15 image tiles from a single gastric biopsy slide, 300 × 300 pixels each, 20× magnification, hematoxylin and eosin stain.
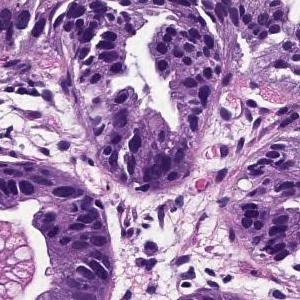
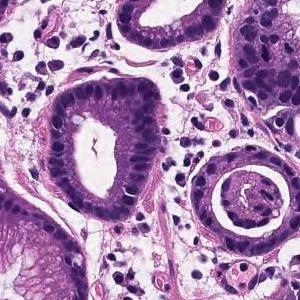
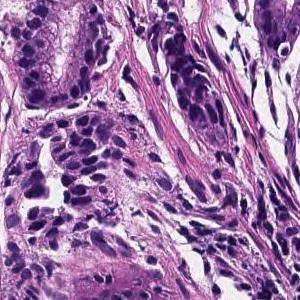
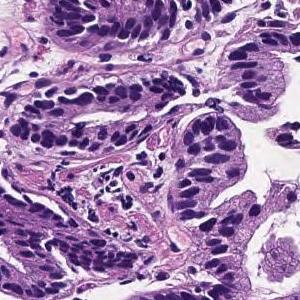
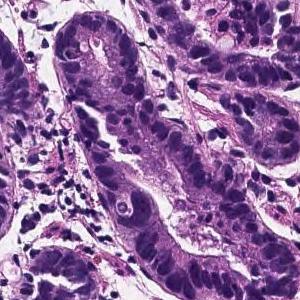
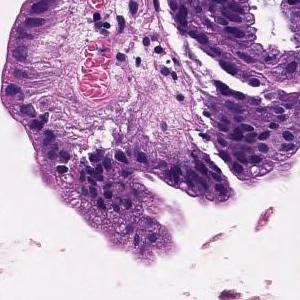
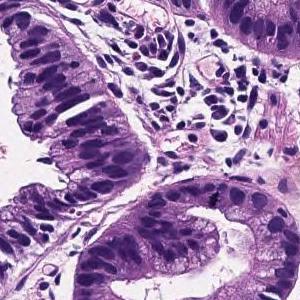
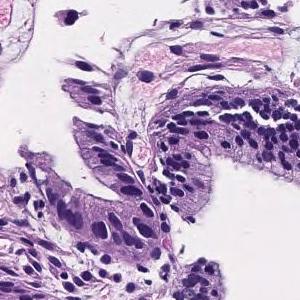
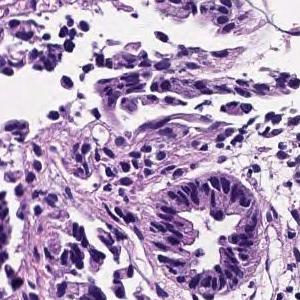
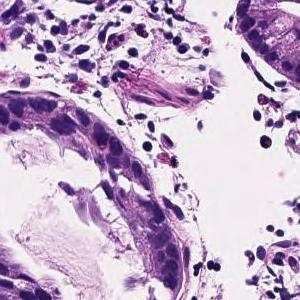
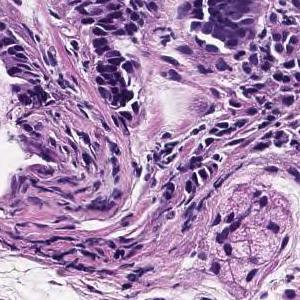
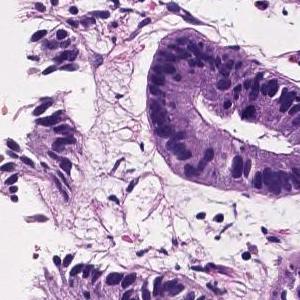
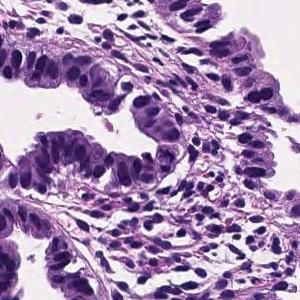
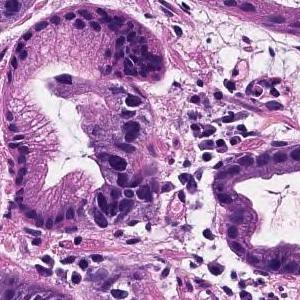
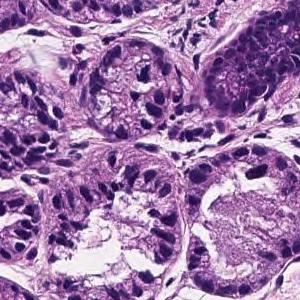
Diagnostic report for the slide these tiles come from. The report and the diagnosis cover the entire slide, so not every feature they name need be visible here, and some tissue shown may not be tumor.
Tumor cells are large, highly columnar, large club-shaped nuclei, and are associated with chromatin aggregation. Papillary adenocarcinoma.
